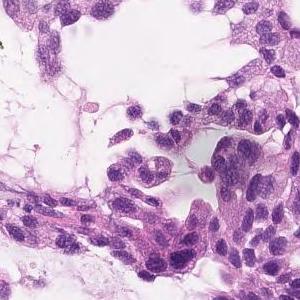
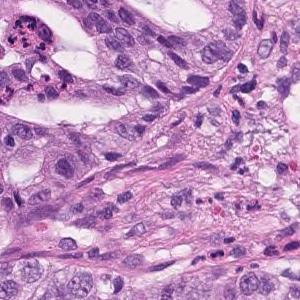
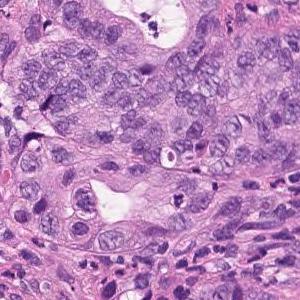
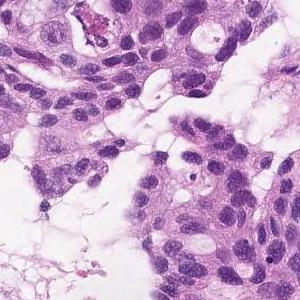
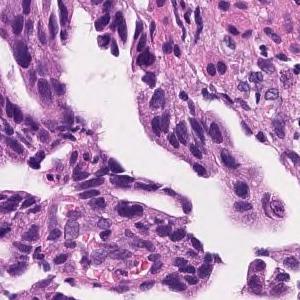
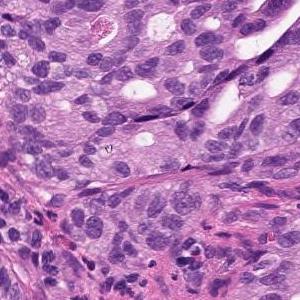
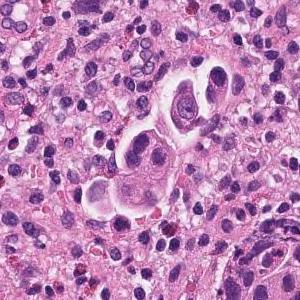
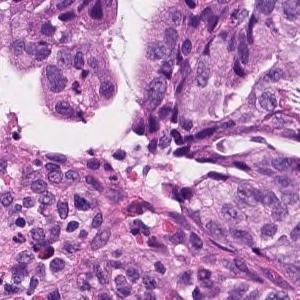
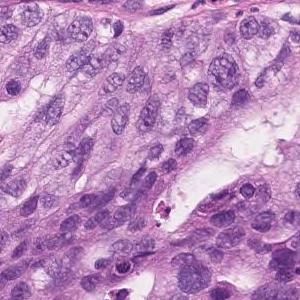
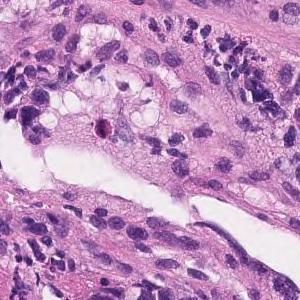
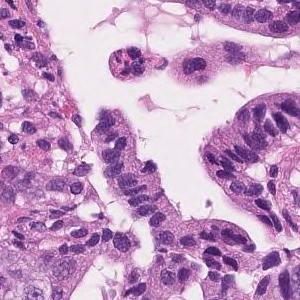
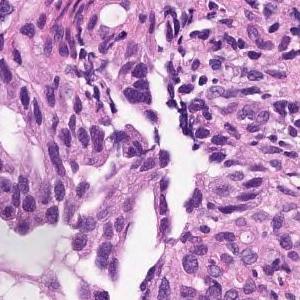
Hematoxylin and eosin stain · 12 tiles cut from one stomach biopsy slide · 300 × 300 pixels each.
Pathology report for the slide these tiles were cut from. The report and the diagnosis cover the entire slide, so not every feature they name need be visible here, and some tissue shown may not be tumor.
Atypical epithelium forming papillary or sieving ducts and infiltrating growth is observed. Papillary adenocarcinoma.
